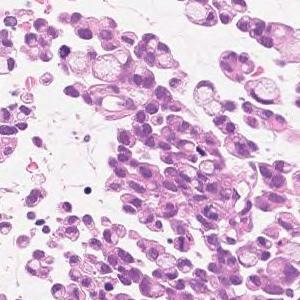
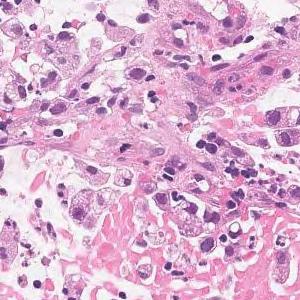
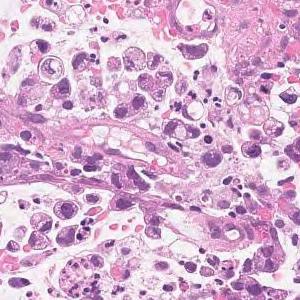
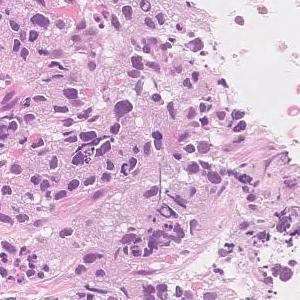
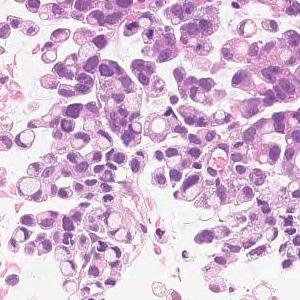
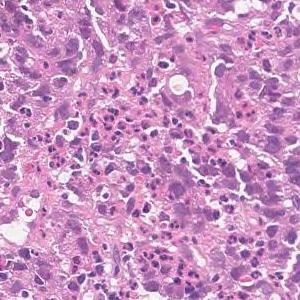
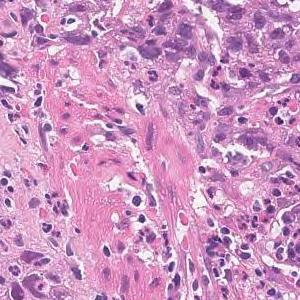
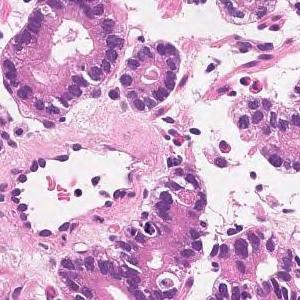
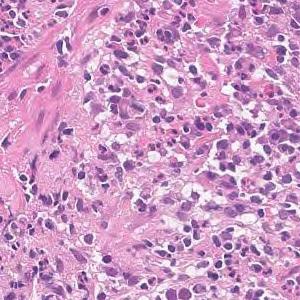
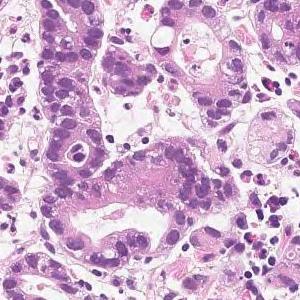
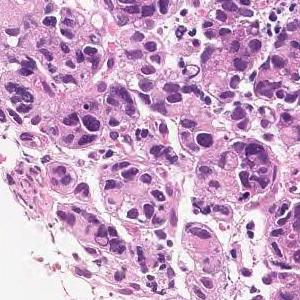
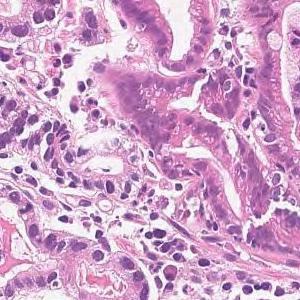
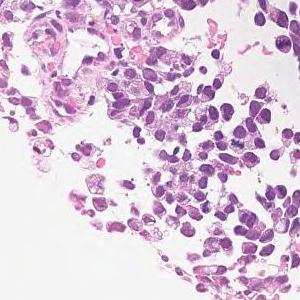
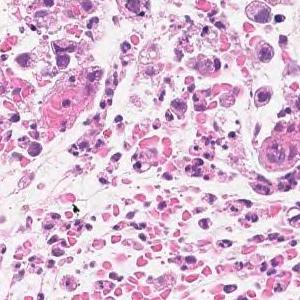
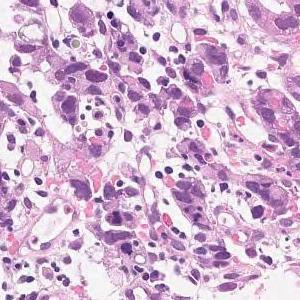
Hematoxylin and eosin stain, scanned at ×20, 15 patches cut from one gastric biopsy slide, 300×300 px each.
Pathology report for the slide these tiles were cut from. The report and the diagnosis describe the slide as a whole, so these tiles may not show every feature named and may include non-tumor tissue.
Medium to small, irregular glandular ducts are formed in the superficial epithelium, and in some cases, the glandular ducts are fused to show solid alveolar lesions and infiltrating tumor tissue is observed. Moderately to poorly differentiated adenocarcinoma.
